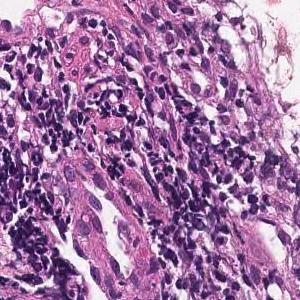
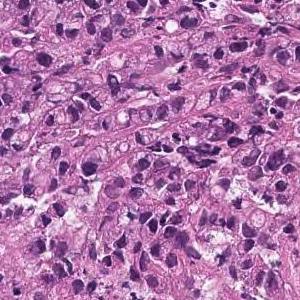
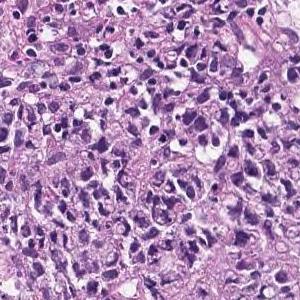
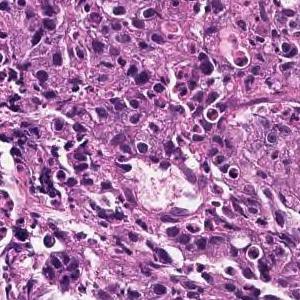
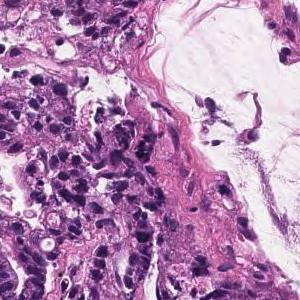
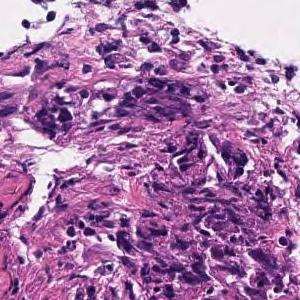
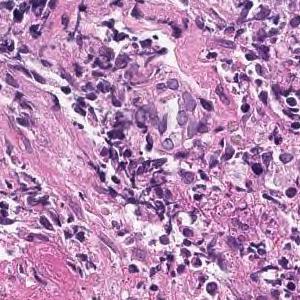
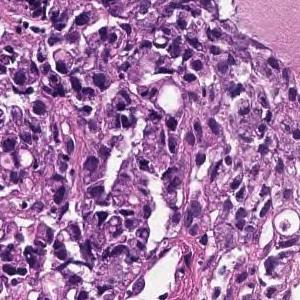
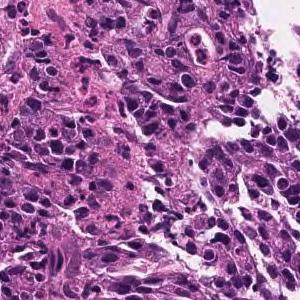
H&E stain; 9 image tiles from a single gastric biopsy slide; 300×300 px each.
Pathology report for the biopsy slide these tiles were cut from. What the report and the diagnosis say applies to the whole slide; these tiles may miss some of the features named and may include tissue that is not tumor.
Medium to small, irregular glandular ducts are formed in the superficial epithelium, and in some cases, the glandular ducts are fused to show solid alveolar lesions and infiltrating tumor tissue is observed. Moderately to poorly differentiated adenocarcinoma.
